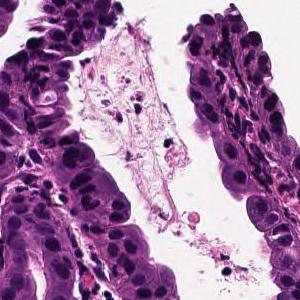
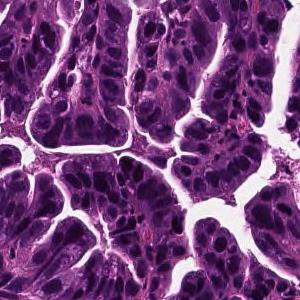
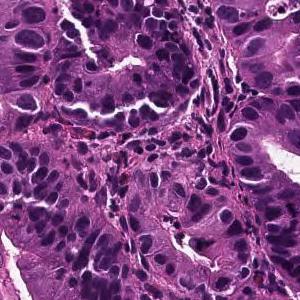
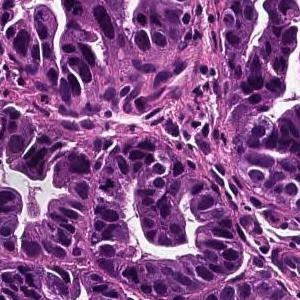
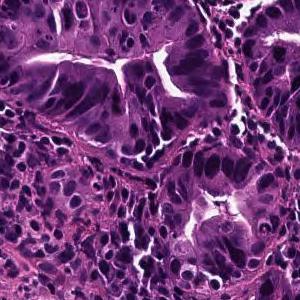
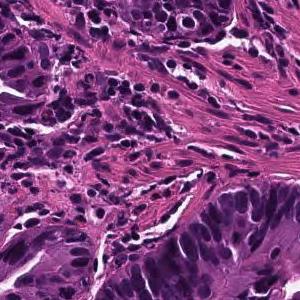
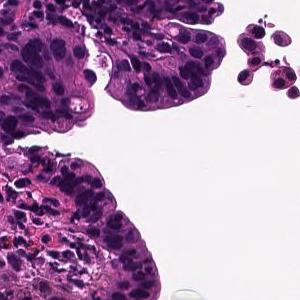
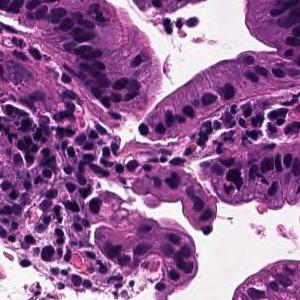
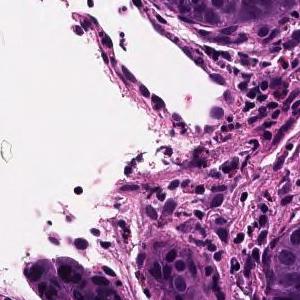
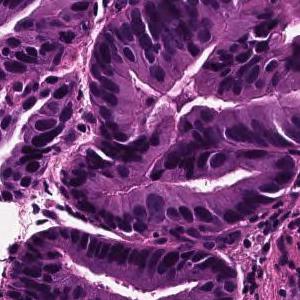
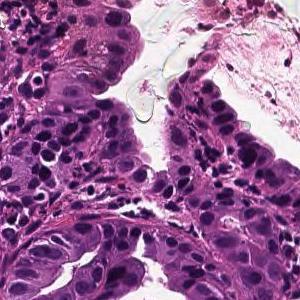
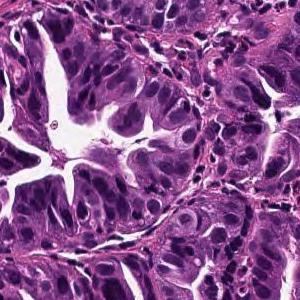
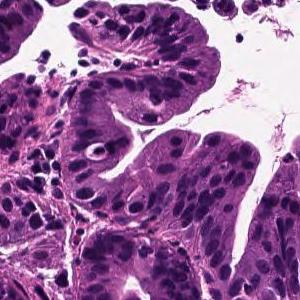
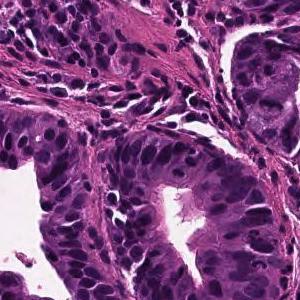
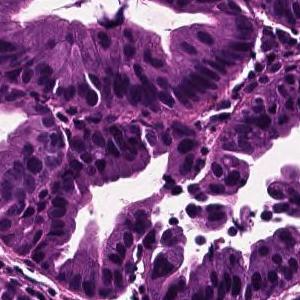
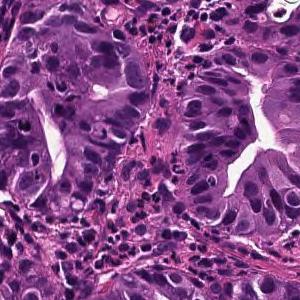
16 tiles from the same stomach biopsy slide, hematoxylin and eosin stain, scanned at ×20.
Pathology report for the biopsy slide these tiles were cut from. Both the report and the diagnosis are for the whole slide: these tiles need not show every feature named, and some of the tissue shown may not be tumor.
Tumor cells are large, highly columnar, large club-shaped nuclei, and are associated with chromatin aggregation. Papillary adenocarcinoma.
